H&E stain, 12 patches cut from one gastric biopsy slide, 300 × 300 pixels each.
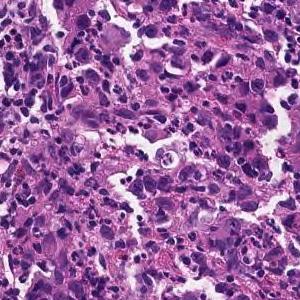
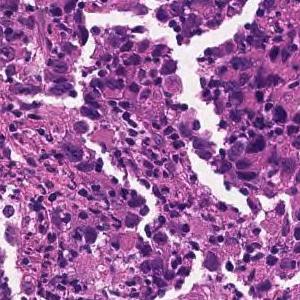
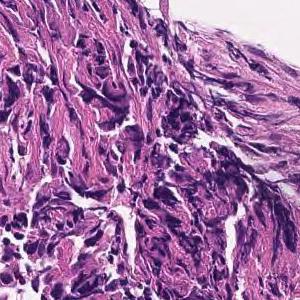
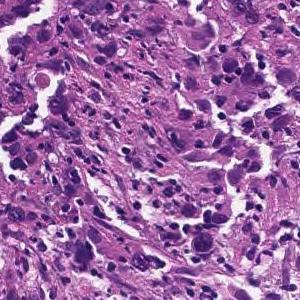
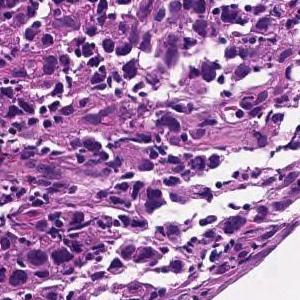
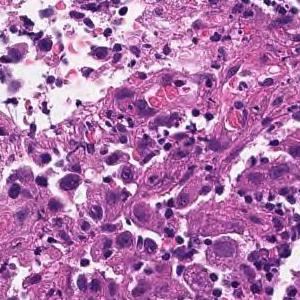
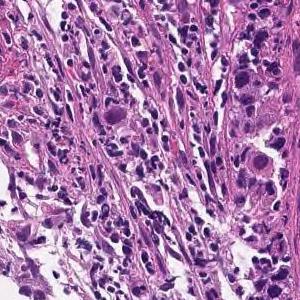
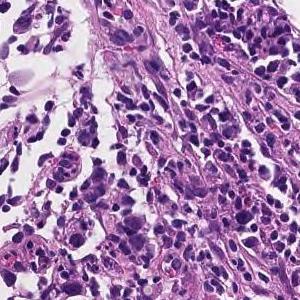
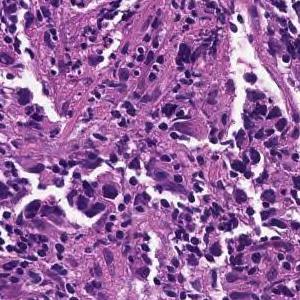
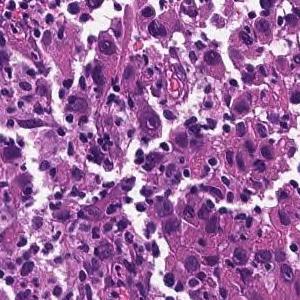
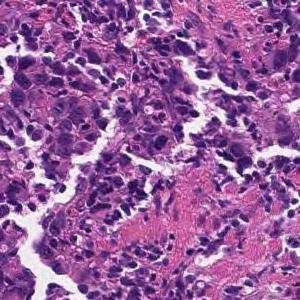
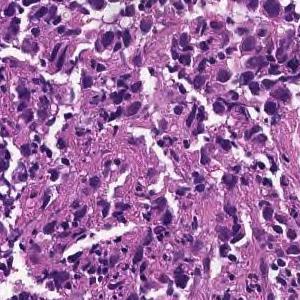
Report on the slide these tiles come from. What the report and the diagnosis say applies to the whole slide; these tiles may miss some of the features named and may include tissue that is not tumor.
The superficial epithelium shows a large sheet-like shape, and some tumor tissue infiltrates with small irregular ducts. Poorly differentiated adenocarcinoma, solid-type (poorly differentiated adenocarcinoma, solid type)
Histologic type: Poorly differentiated adenocarcinoma, solid type, a category of the Japanese Classification of Gastric Carcinoma; in the WHO 2019 classification it is tubular adenocarcinoma, poorly differentiated.
